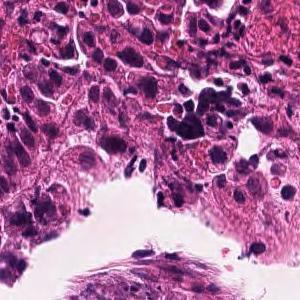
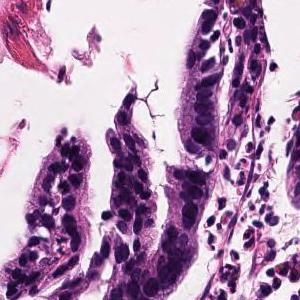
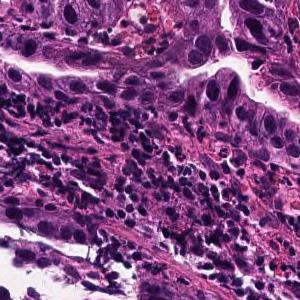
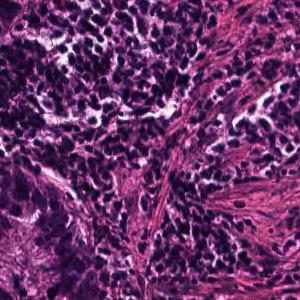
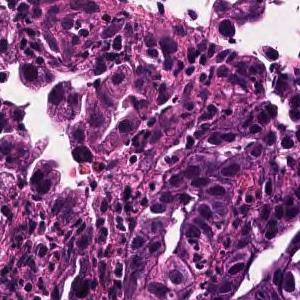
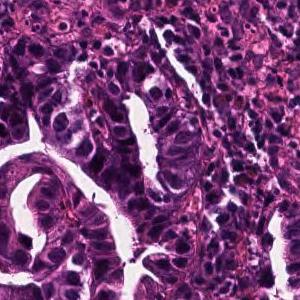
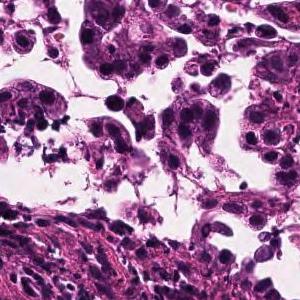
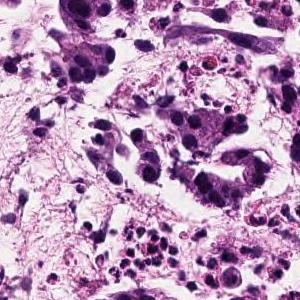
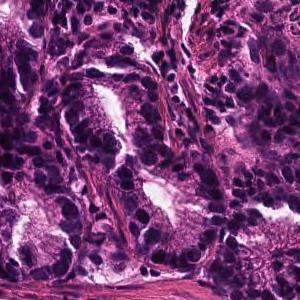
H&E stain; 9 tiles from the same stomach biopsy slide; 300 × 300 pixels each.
Diagnostic report for the slide these tiles come from. The report and the diagnosis describe the slide as a whole, so these tiles may not show every feature named and may include non-tumor tissue.
Tumor tissue consisting of large papillary structures is found in the superficial epithelium. Papillary adenocarcinoma.
